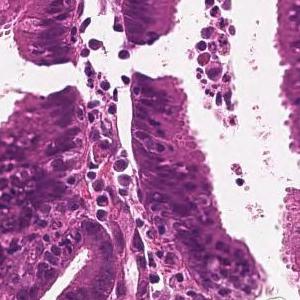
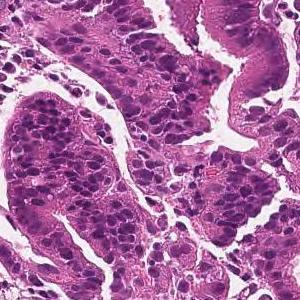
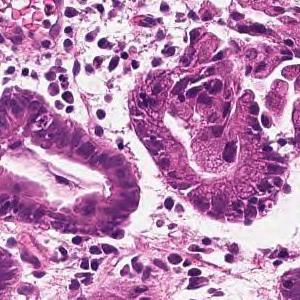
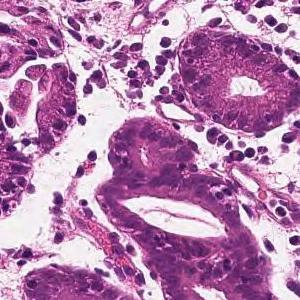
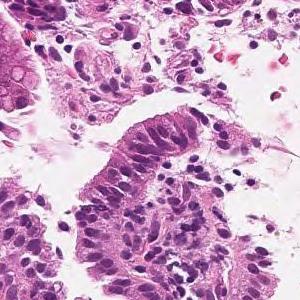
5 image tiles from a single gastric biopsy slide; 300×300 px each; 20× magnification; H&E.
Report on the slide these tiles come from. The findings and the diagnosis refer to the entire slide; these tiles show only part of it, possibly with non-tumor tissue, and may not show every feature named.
On the superficial epithelium, tumor tissue is found in which medium-sized irregular gland ducts fuse with each other and infiltrate. moderately differentiated tubular adenocarcinoma
